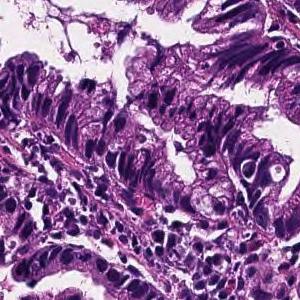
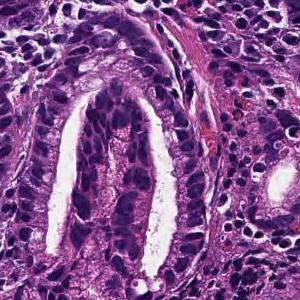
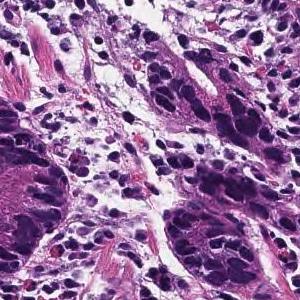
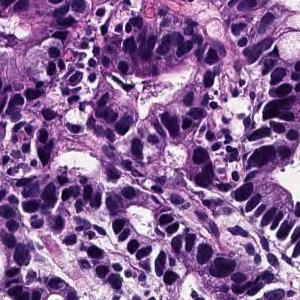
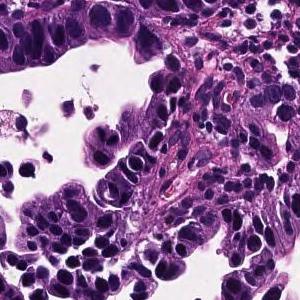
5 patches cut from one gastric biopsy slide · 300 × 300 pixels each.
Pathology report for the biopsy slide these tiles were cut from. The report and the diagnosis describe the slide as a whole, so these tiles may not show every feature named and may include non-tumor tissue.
Tumor cells are large, highly columnar, large club-shaped nuclei, and are associated with chromatin aggregation. Papillary adenocarcinoma.
